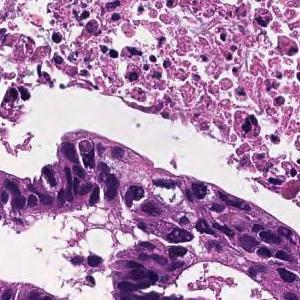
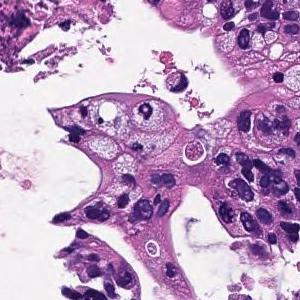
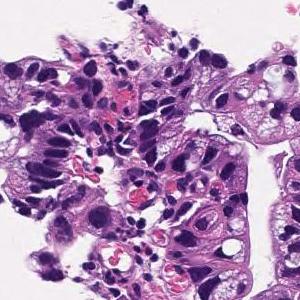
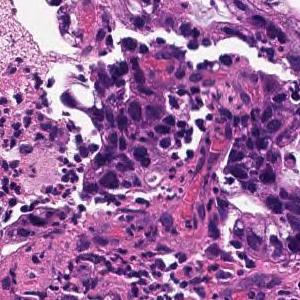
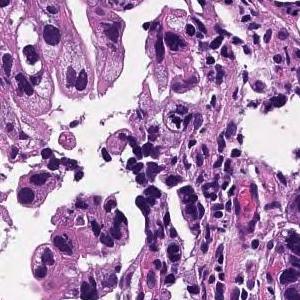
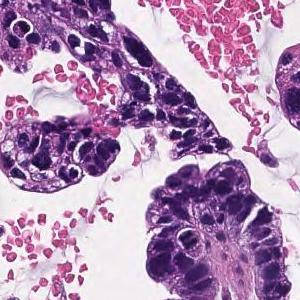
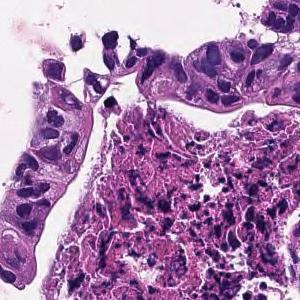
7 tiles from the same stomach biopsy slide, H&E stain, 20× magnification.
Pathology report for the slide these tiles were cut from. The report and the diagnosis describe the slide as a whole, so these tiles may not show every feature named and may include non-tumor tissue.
In the superficial epithelium, tumor tissue that invades by forming medium-sized to small, irregular ducts is observed. moderately differentiated tubular adenocarcinoma.
